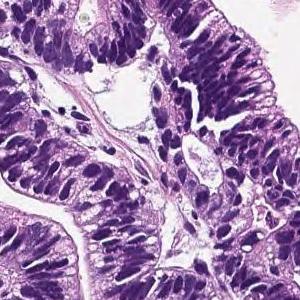
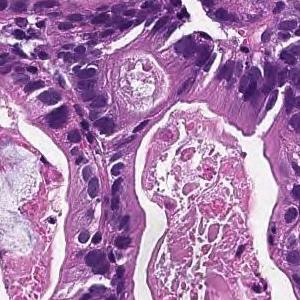
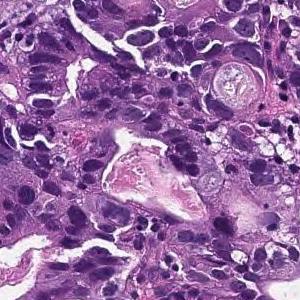
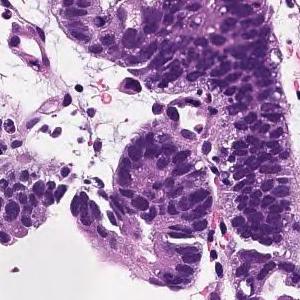
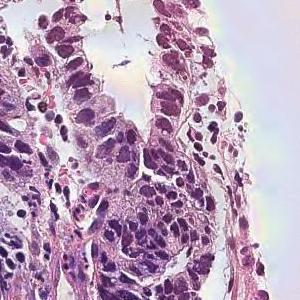
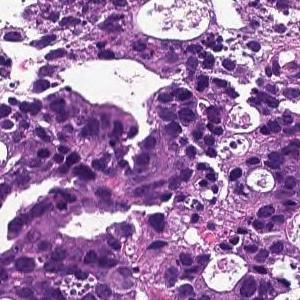
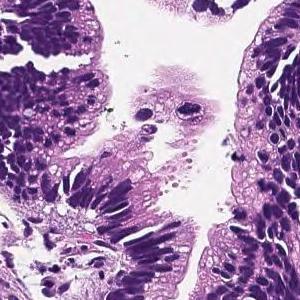
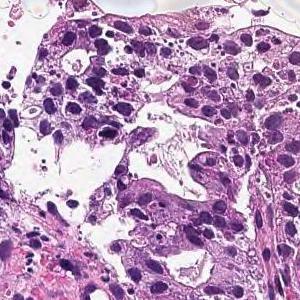
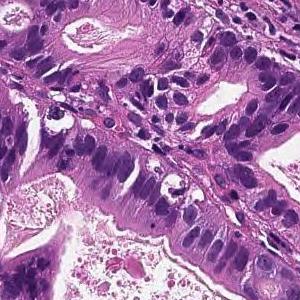
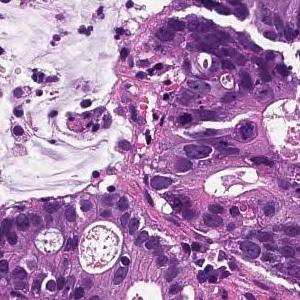
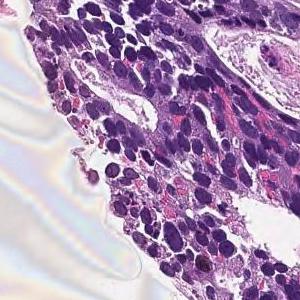
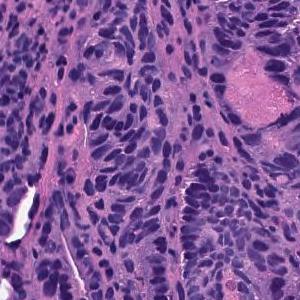
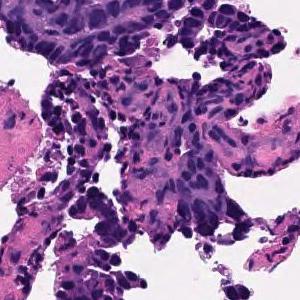
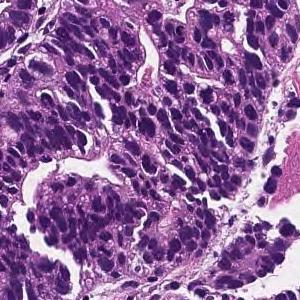
Scanned at ×20; H&E; 14 patches cut from one gastric biopsy slide.
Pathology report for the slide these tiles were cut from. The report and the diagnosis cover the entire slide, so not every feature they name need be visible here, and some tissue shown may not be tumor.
In the superficial epithelium, tumor tissue that invades by forming medium-sized to small, irregular ducts is observed. moderately differentiated tubular adenocarcinoma.
